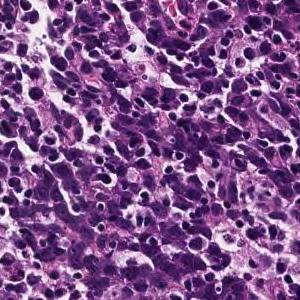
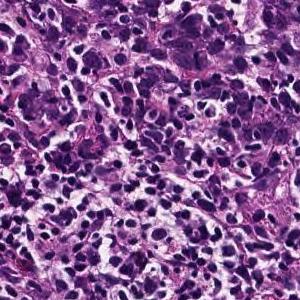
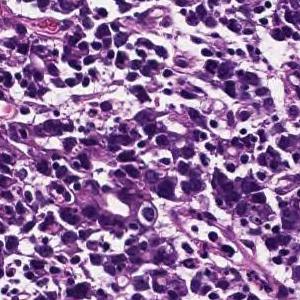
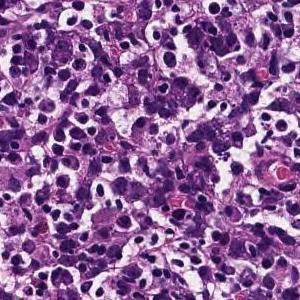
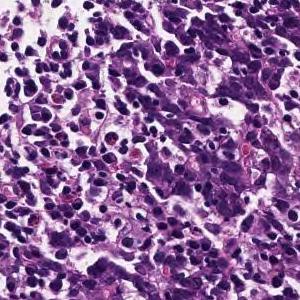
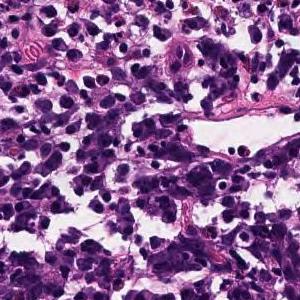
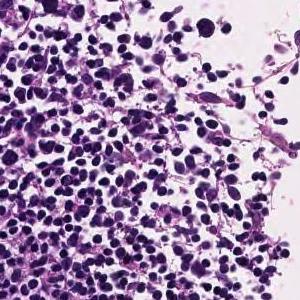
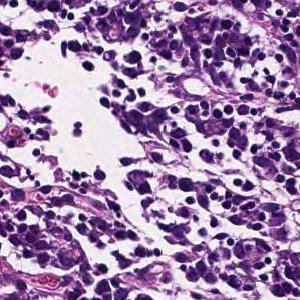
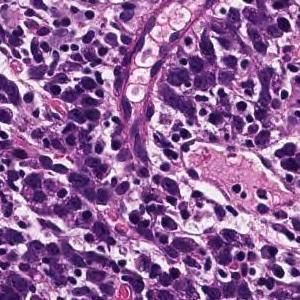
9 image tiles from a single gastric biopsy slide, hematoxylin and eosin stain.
Report on the slide these tiles come from. The findings and the diagnosis refer to the entire slide; these tiles show only part of it, possibly with non-tumor tissue, and may not show every feature named.
Tumor tissue consisting of cord-like or small, irregular glandular ducts fused and infiltrated is observed in the superficial epithelium. Poorly differentiated adenocarcinoma, non-solid type
"Non-solid type" is a category of the Japanese Classification of Gastric Carcinoma.
